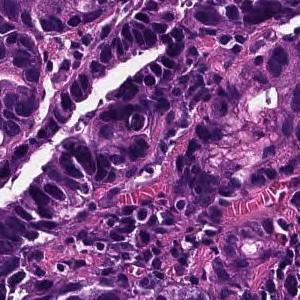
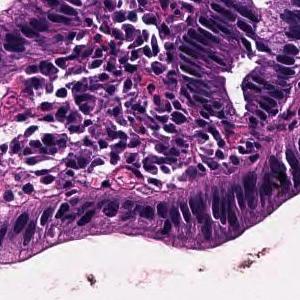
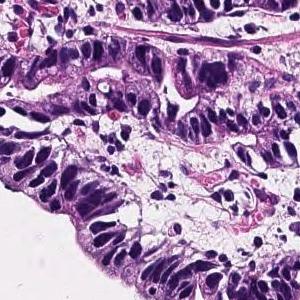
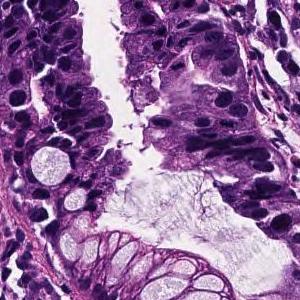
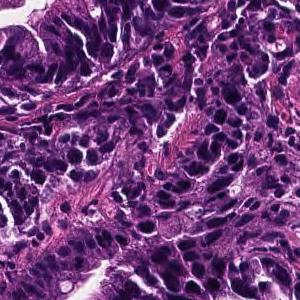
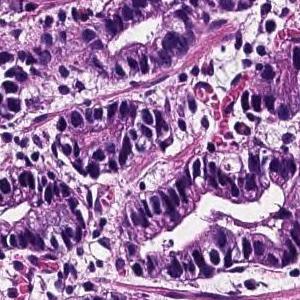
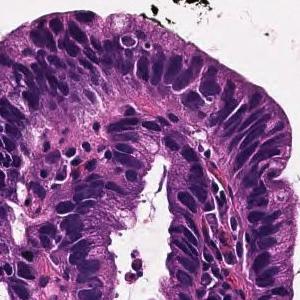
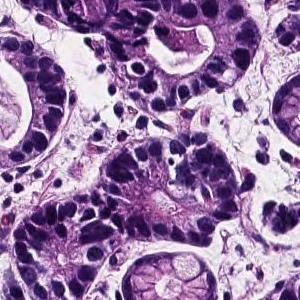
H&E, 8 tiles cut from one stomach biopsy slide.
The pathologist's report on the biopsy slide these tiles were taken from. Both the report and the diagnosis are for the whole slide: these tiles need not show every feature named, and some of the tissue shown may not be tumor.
Tumor cells are large, highly columnar, large club-shaped nuclei, and are associated with chromatin aggregation. Papillary adenocarcinoma.
